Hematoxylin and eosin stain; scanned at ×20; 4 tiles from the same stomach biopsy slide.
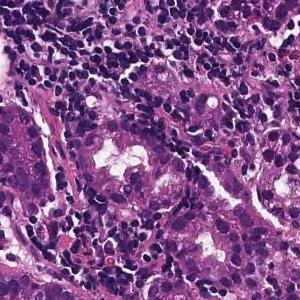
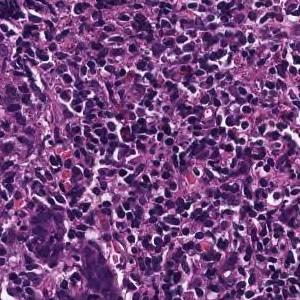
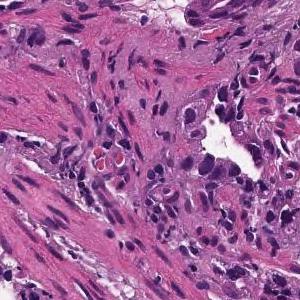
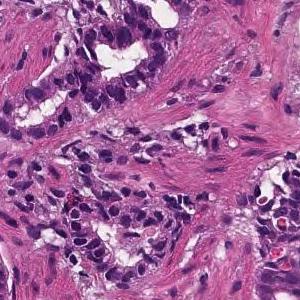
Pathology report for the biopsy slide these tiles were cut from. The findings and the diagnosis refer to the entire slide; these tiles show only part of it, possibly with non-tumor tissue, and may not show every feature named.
Tumor tissue consisting of medium-sized, cord-like or irregular glandular infiltration is observed in the superficial epithelium. Poorly differentiated adenocarcinoma, non-solid type or moderately differentiated tubular adenocarcinoma
Histological subtype: Moderately to poorly differentiated adenocarcinoma.
"Non-solid type" is a category of the Japanese Classification of Gastric Carcinoma.
